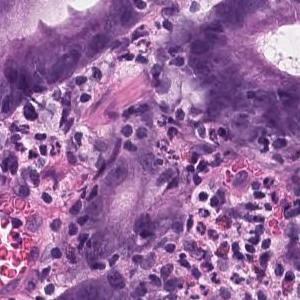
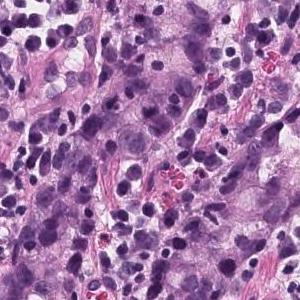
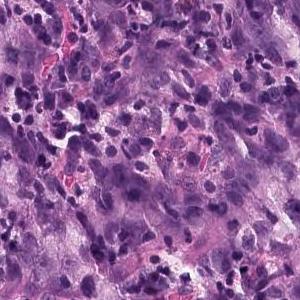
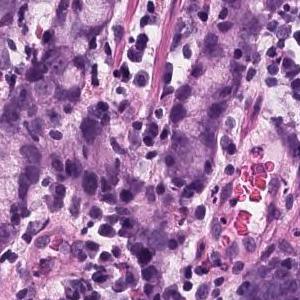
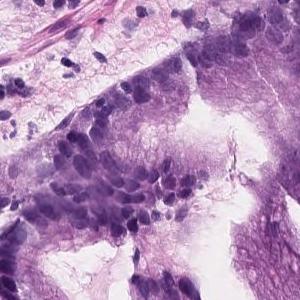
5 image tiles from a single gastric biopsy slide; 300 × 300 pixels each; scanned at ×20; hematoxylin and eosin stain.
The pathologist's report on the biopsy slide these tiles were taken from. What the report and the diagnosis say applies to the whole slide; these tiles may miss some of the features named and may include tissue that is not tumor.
In the superficial epithelium, tumor tissue that invades by forming medium-sized to small, irregular ducts is observed. Moderately differentiated adenocarcinoma.
Tumor subtype: moderately differentiated tubular adenocarcinoma.
